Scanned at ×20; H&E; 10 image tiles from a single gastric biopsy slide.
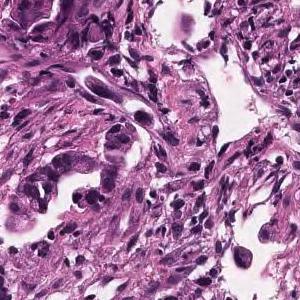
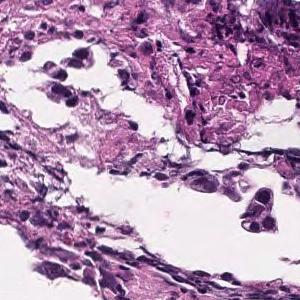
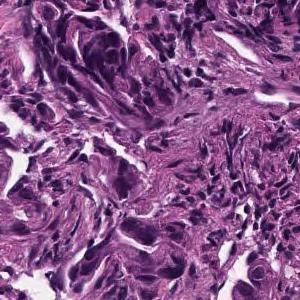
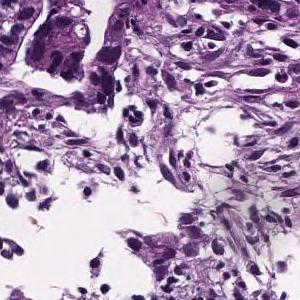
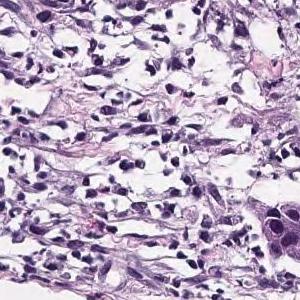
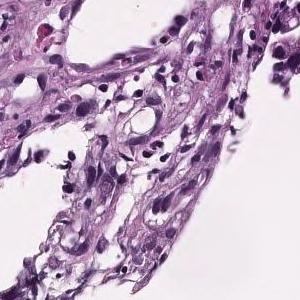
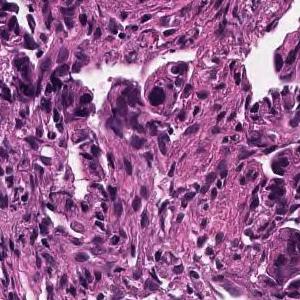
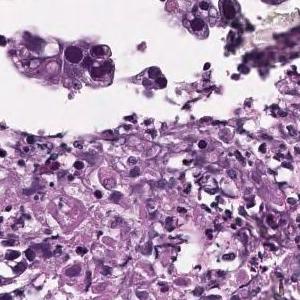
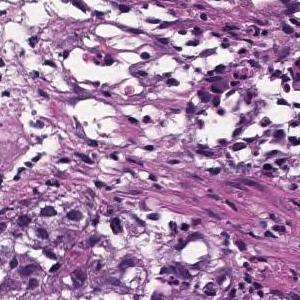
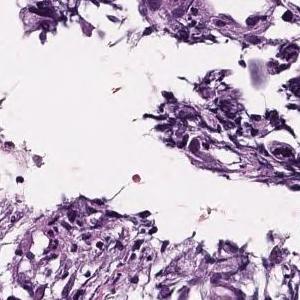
Diagnostic report for the slide these tiles come from. The report and the diagnosis cover the entire slide, so not every feature they name need be visible here, and some tissue shown may not be tumor.
In the superficial epithelium, tumor tissue that invades by forming medium-sized to small, irregular ducts is observed. moderately differentiated tubular adenocarcinoma.
